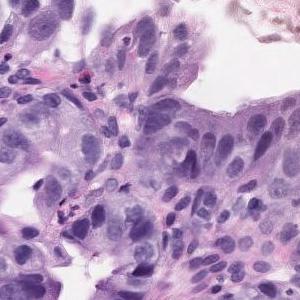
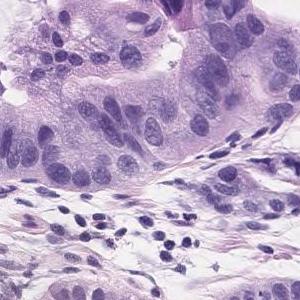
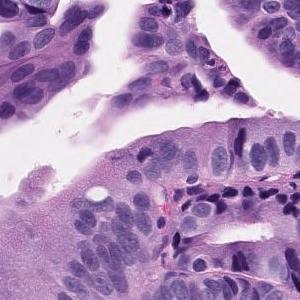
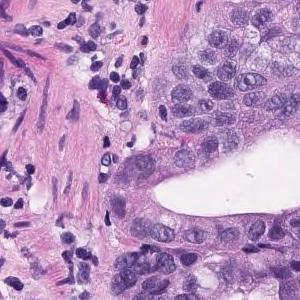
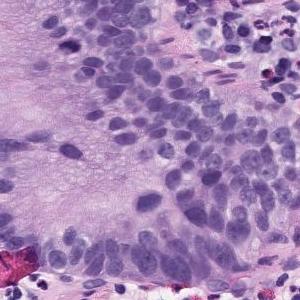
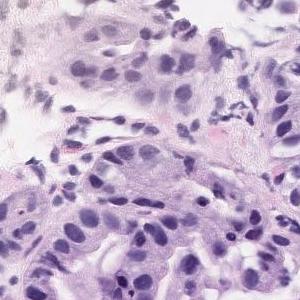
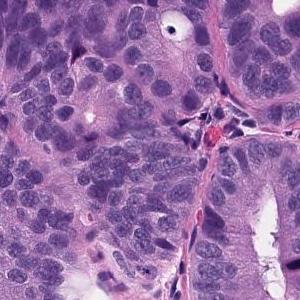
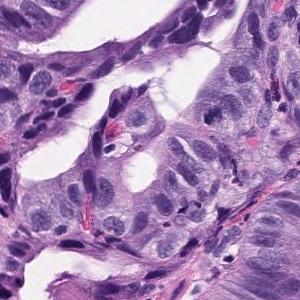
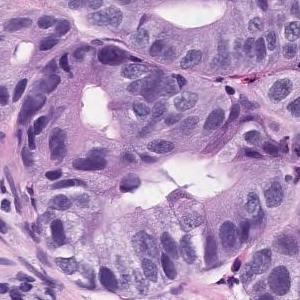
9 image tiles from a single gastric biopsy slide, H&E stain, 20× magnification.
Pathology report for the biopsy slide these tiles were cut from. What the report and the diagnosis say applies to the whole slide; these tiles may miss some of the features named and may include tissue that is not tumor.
Tumor tissue consisting of medium-sized and irregular ducts is observed infiltrating in the superficial epithelium. Tumor cells are highly columnar, with nuclei aligned basolaterally and polarized. Well differentiated tubular adenocarcinoma.
